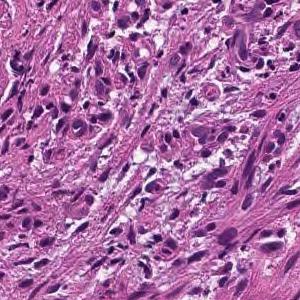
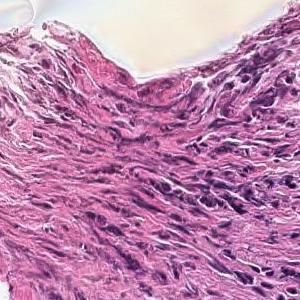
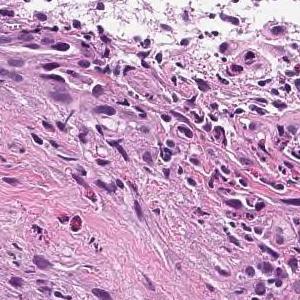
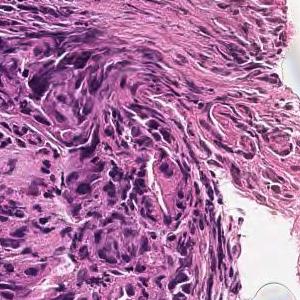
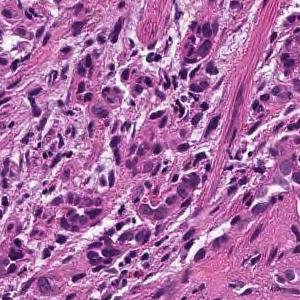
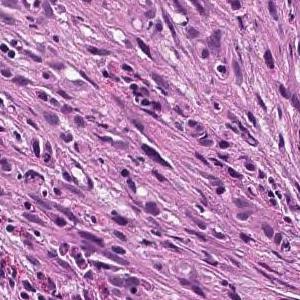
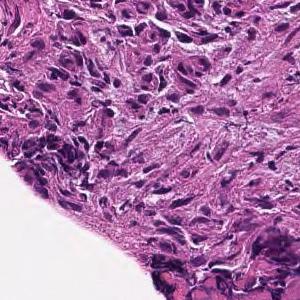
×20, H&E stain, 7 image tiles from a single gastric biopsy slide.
The pathologist's report on the biopsy slide these tiles were taken from. What the report and the diagnosis say applies to the whole slide; these tiles may miss some of the features named and may include tissue that is not tumor.
In the superficial epithelium, tumor tissue that invades by forming medium-sized to small, irregular ducts is observed. moderately differentiated tubular adenocarcinoma.
